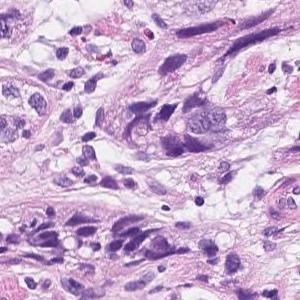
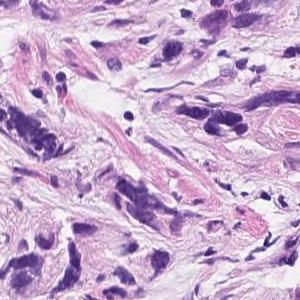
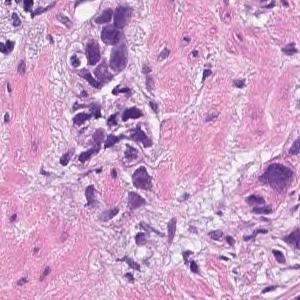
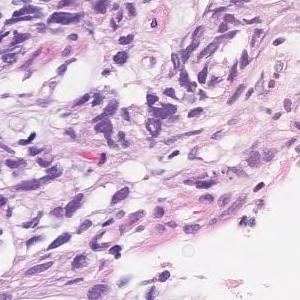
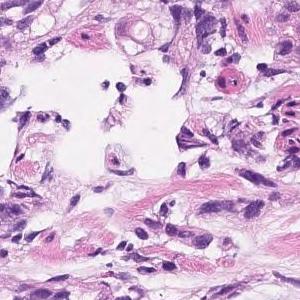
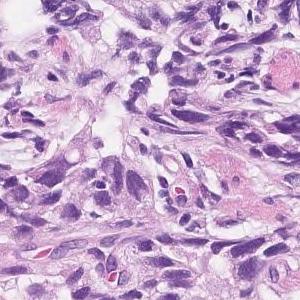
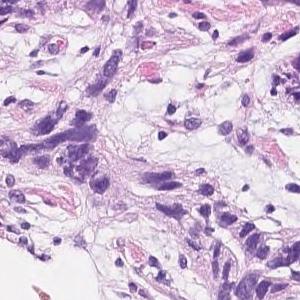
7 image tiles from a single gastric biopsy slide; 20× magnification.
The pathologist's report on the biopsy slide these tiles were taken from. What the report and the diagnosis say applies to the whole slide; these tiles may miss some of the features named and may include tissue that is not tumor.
In the superficial epithelium, tumor tissue that invades by forming medium-sized to small, irregular ducts is observed. Moderately differentiated adenocarcinoma.
Histologic type: Moderately differentiated tubular adenocarcinoma.
